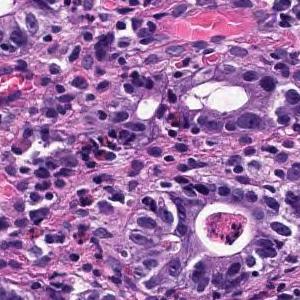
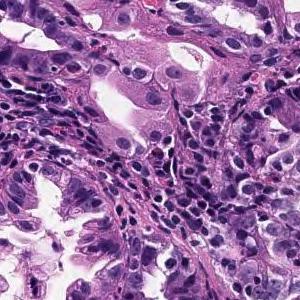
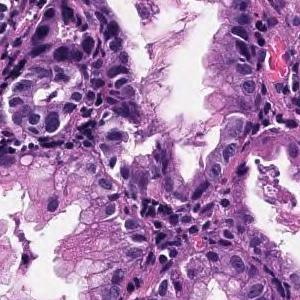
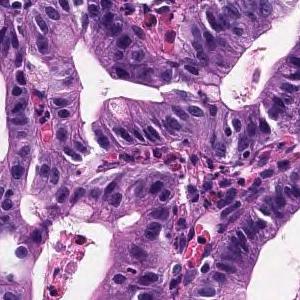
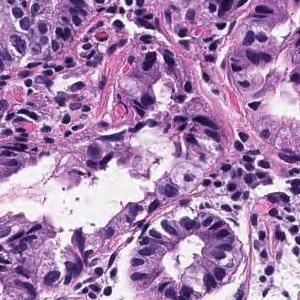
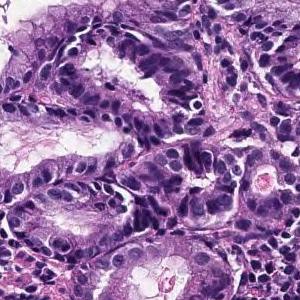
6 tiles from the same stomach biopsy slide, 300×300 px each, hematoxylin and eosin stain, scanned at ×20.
Pathology report for the biopsy slide these tiles were cut from. The report and the diagnosis describe the slide as a whole, so these tiles may not show every feature named and may include non-tumor tissue.
Tumor tissue consisting of medium-sized and irregular ducts is observed infiltrating in the superficial epithelium. Tumor cells are highly columnar, with nuclei aligned basolaterally and polarized. Well differentiated tubular adenocarcinoma.
